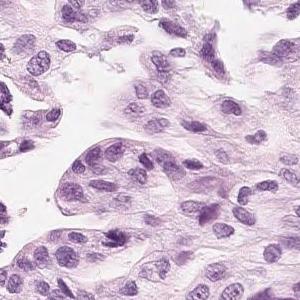
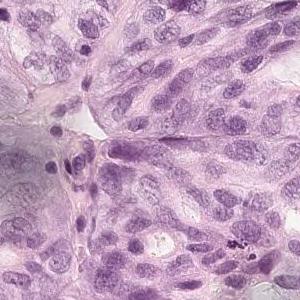
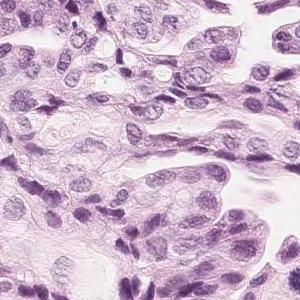
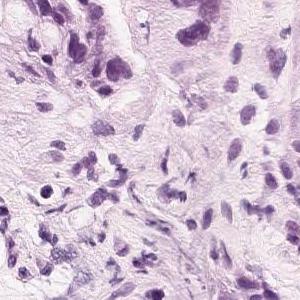
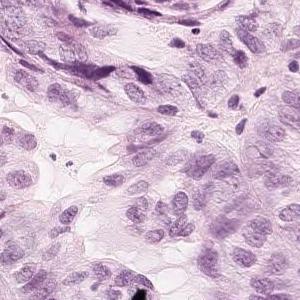
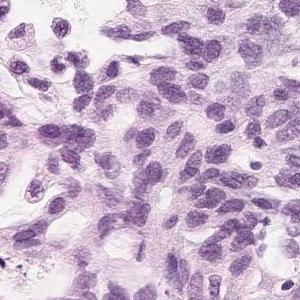
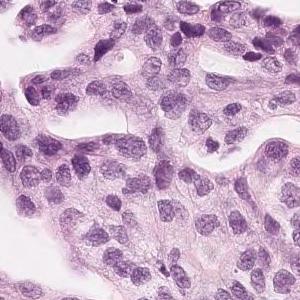
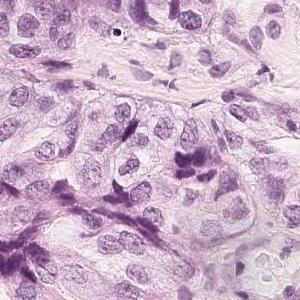
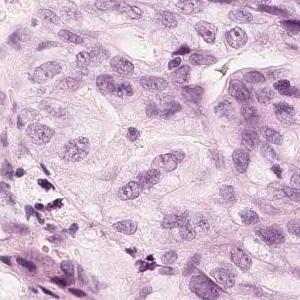
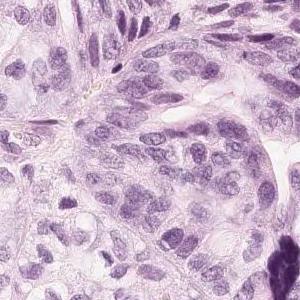
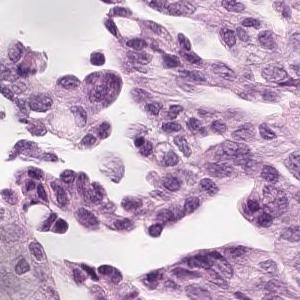
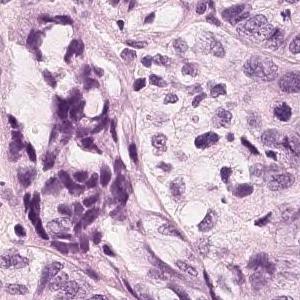
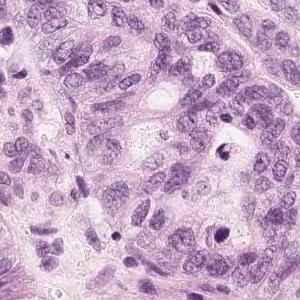
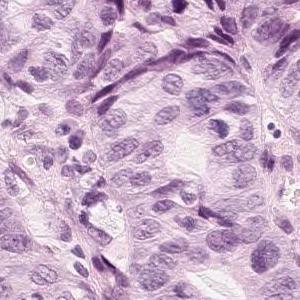
14 patches cut from one gastric biopsy slide · ×20.
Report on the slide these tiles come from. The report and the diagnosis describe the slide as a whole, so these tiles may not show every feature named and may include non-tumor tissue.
Tumor tissue in which medium-sized atypical epithelial cells with a large N/C ratio grow densely while becoming alveolar to cord-like with duct formation is observed. moderately differentiated tubular adenocarcinoma
